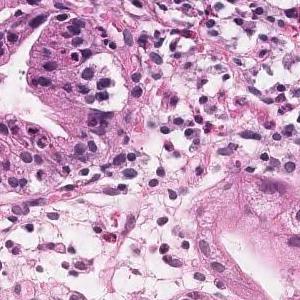
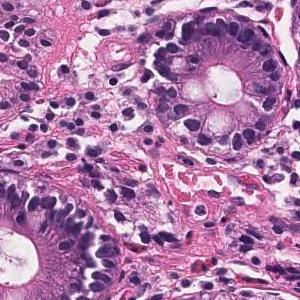
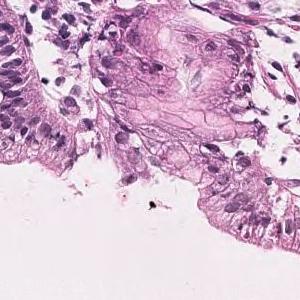
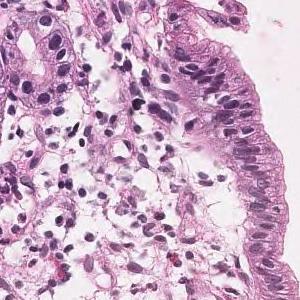
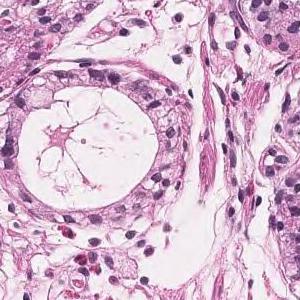
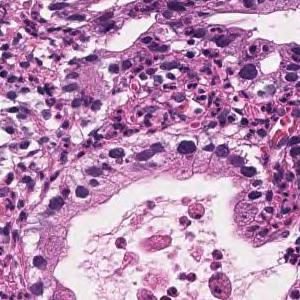
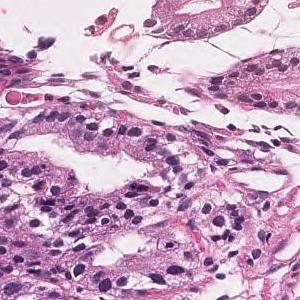
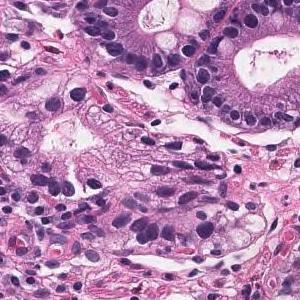
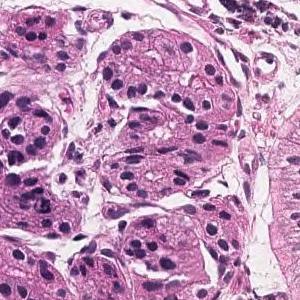
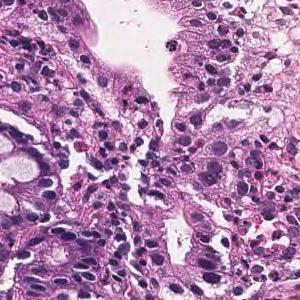
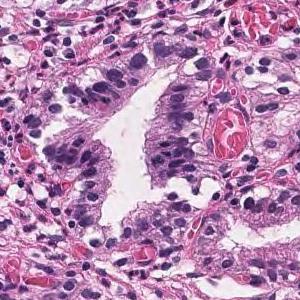
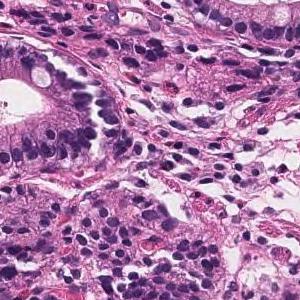
12 tiles cut from one stomach biopsy slide; each 300 × 300 pixels; scanned at ×20.
Pathology report for the biopsy slide these tiles were cut from. The findings and the diagnosis refer to the entire slide; these tiles show only part of it, possibly with non-tumor tissue, and may not show every feature named.
On the superficial epithelium, tumor tissue consisting of large, irregular glandular ducts partially fused and infiltrated is observed. Well differentiated tubular adenocarcinoma
